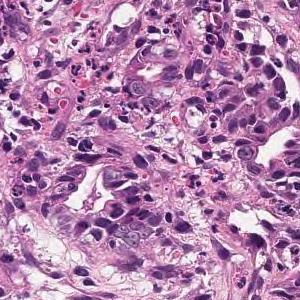
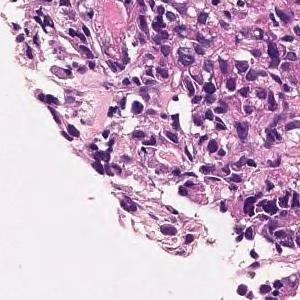
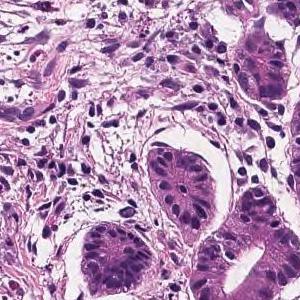
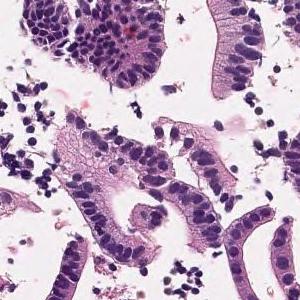
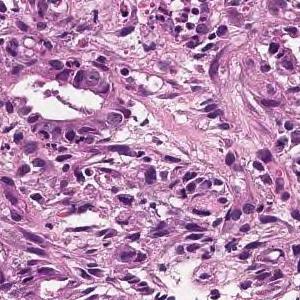
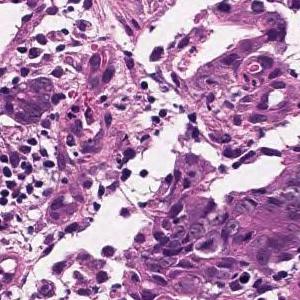
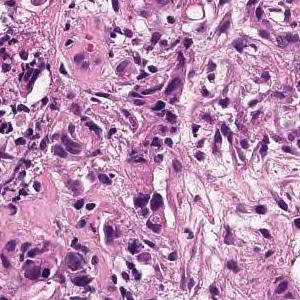
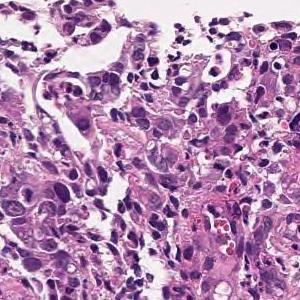
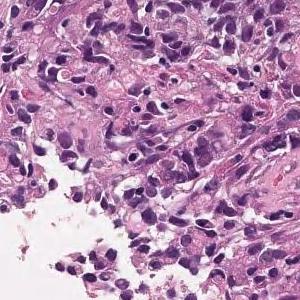
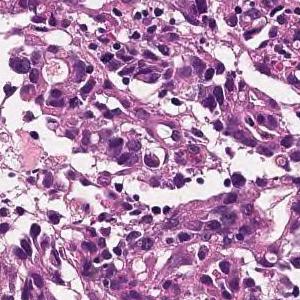
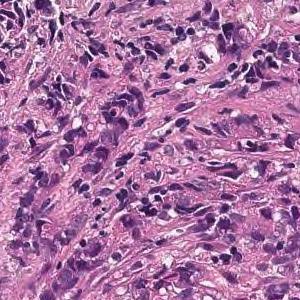
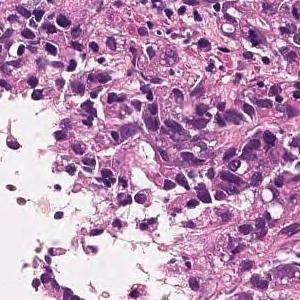
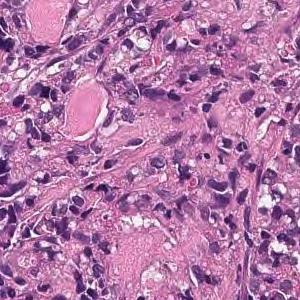
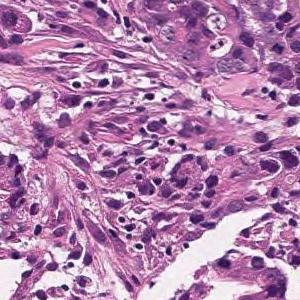
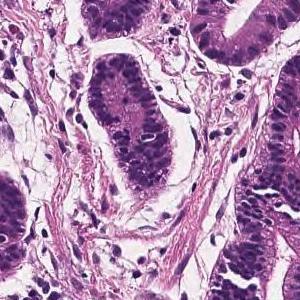
15 patches cut from one gastric biopsy slide, 20× magnification.
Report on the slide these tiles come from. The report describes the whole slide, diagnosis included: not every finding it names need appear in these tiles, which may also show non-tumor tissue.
Tumor tissue consisting of cord-like or small, irregular glandular ducts fused and infiltrated is observed in the superficial epithelium. Poorly differentiated adenocarcinoma, non-solid type
The non-solid type named here is a Japanese Classification of Gastric Carcinoma category.
